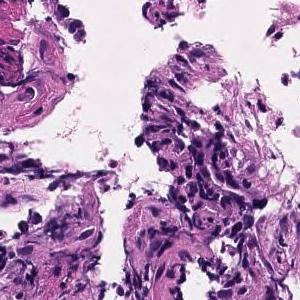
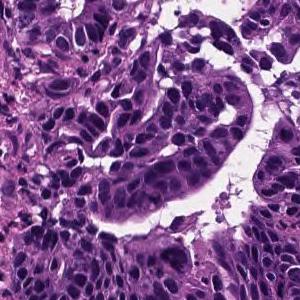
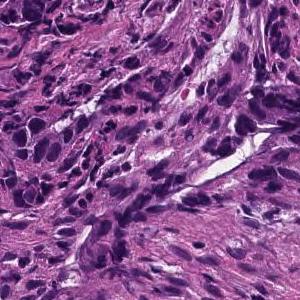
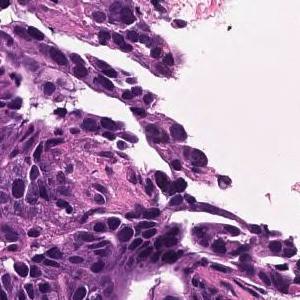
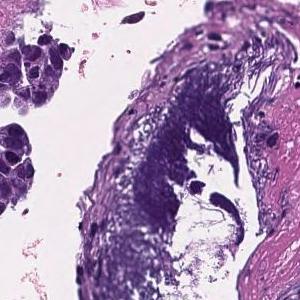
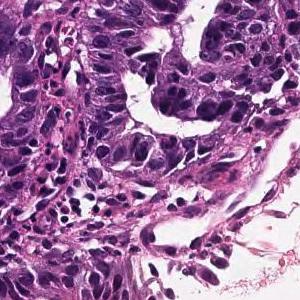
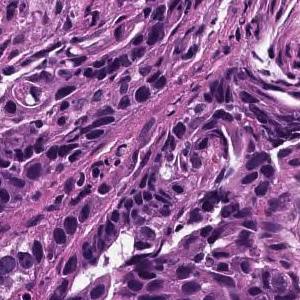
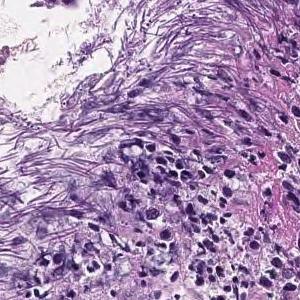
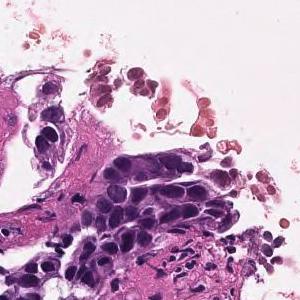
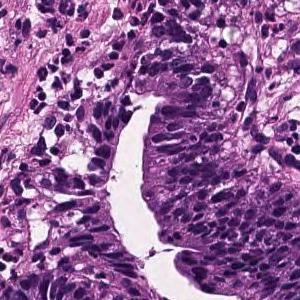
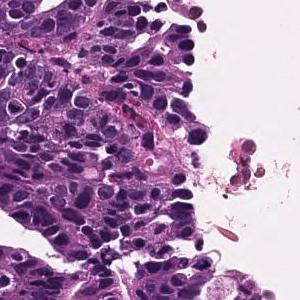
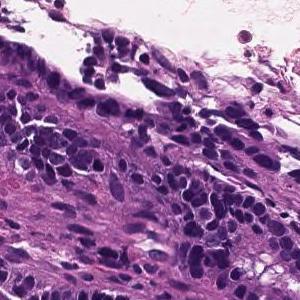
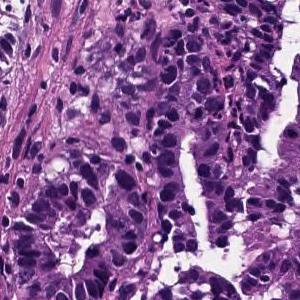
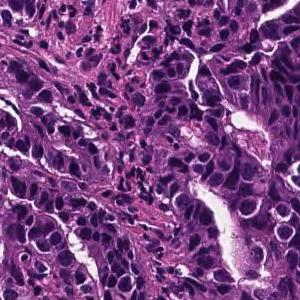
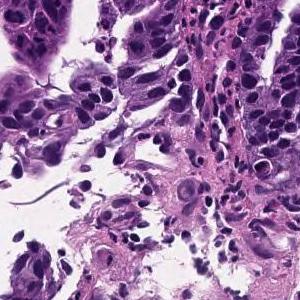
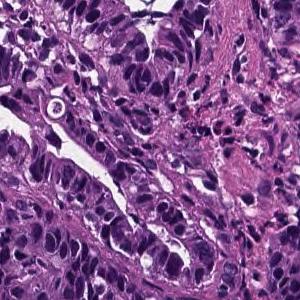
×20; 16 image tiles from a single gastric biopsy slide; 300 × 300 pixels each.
The pathologist's report on the biopsy slide these tiles were taken from. The report describes the whole slide, diagnosis included: not every finding it names need appear in these tiles, which may also show non-tumor tissue.
Tumor cells are large, highly columnar, large club-shaped nuclei, and are associated with chromatin aggregation. Papillary adenocarcinoma.
